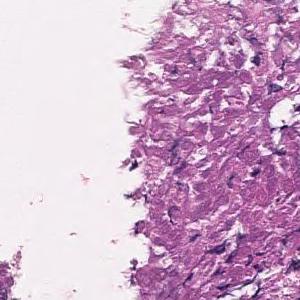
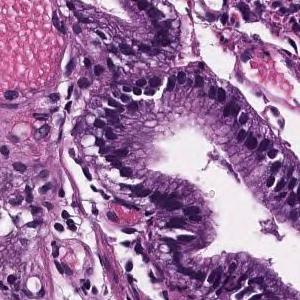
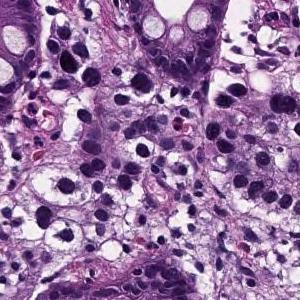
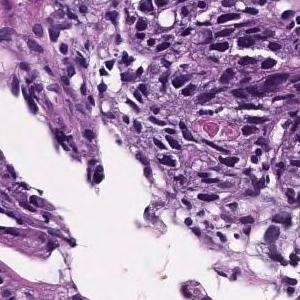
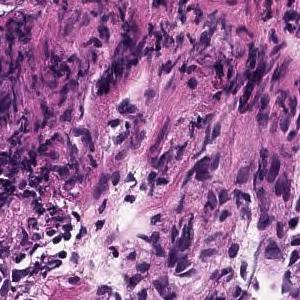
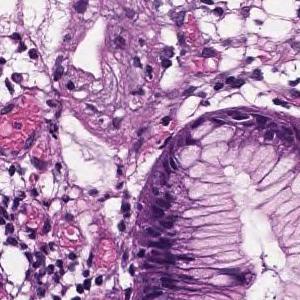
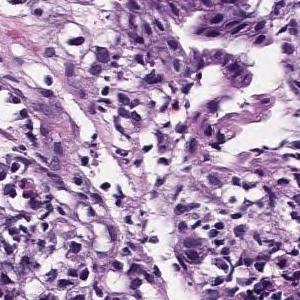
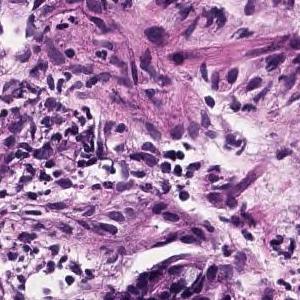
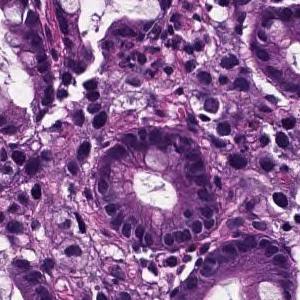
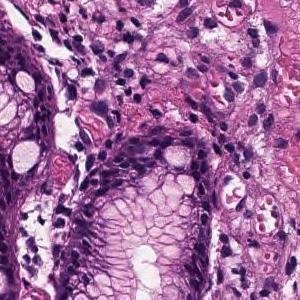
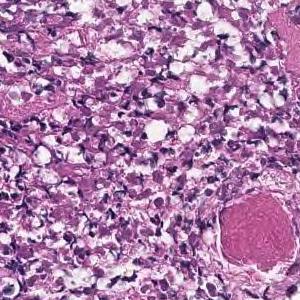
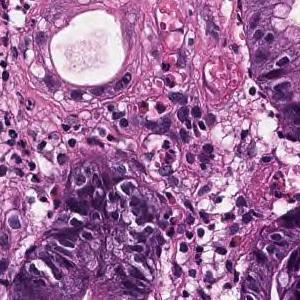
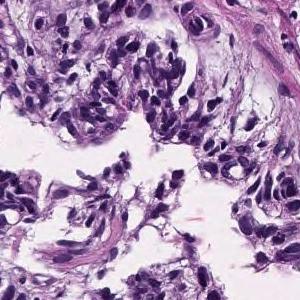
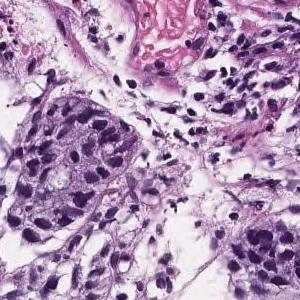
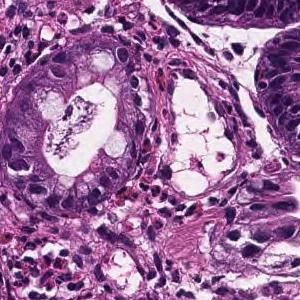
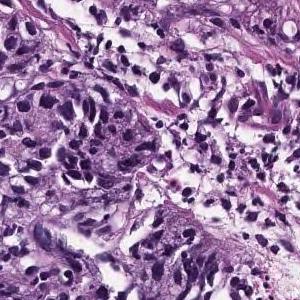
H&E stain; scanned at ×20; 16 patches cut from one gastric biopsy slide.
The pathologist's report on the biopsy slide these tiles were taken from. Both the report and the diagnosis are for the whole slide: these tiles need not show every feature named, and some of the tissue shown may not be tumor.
In the superficial epithelium, medium to small irregular gland ducts are formed, and in some cases, the ducts are fused to show solid alveolar lesions and infiltrating tumor tissue is observed. Moderately to poorly differentiated adenocarcinoma
